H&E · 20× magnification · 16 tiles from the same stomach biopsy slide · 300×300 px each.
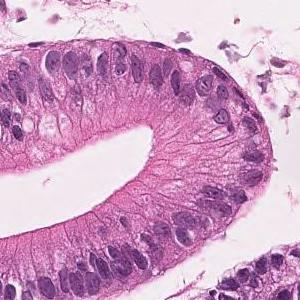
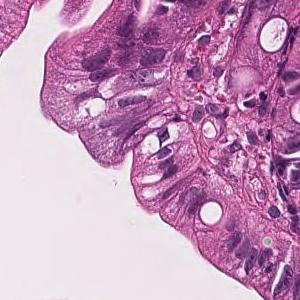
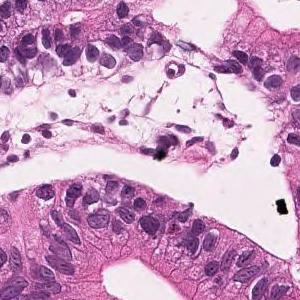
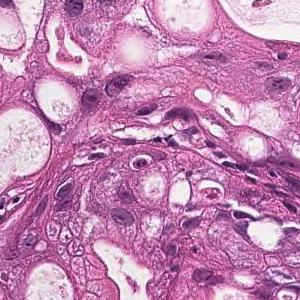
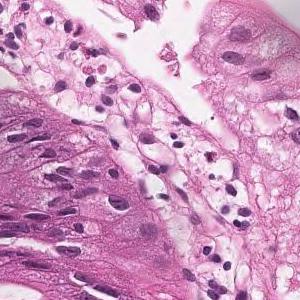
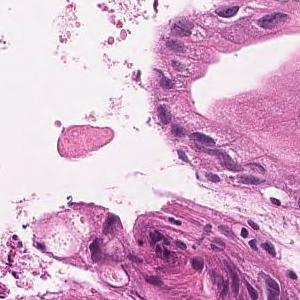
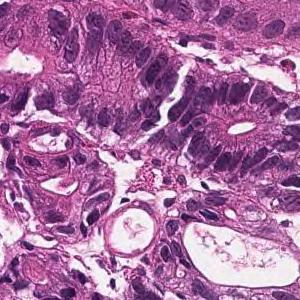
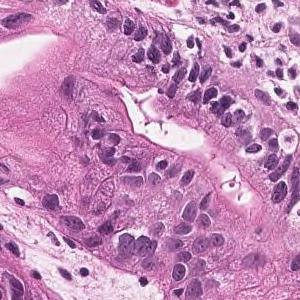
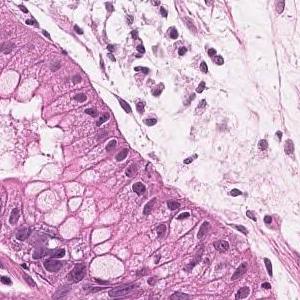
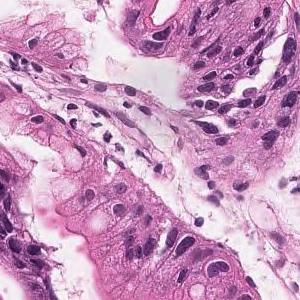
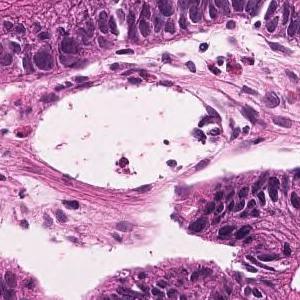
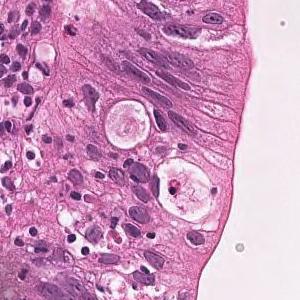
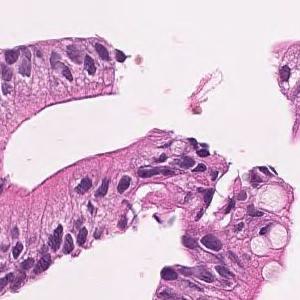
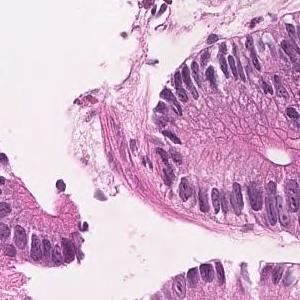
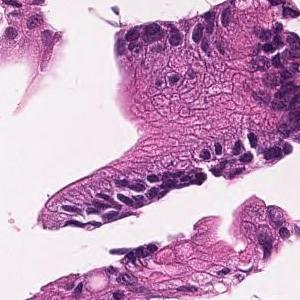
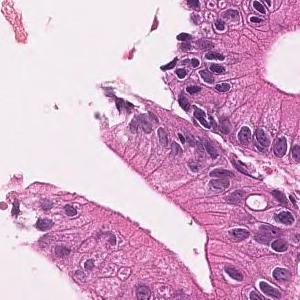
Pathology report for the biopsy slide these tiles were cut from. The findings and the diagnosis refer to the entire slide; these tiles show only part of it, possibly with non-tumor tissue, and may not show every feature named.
On the superficial epithelium, tumor tissue that infiltrates by forming medium-sized papillary or small irregular ducts is observed. Papillary adenocarcinoma
